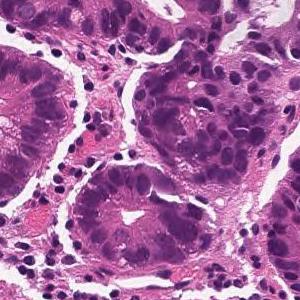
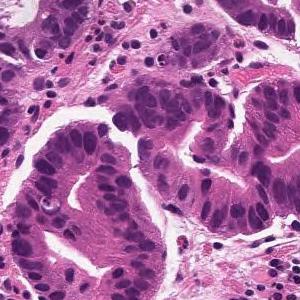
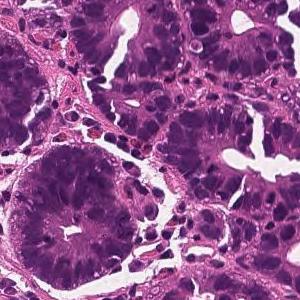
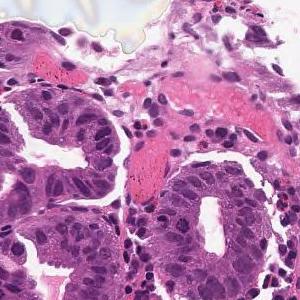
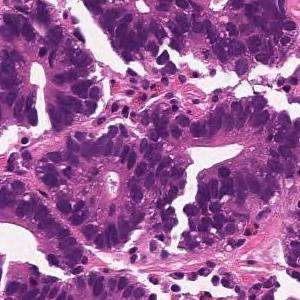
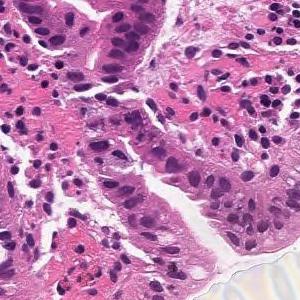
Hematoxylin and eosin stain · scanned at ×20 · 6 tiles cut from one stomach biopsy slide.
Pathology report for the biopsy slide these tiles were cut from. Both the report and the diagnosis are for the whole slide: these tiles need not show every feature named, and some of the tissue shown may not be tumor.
From the superficial epithelium to the muscularis mucosae, tumor tissue consisting of medium-sized and irregular glandular ducts infiltrating is observed. Well differentiated tubular adenocarcinoma
